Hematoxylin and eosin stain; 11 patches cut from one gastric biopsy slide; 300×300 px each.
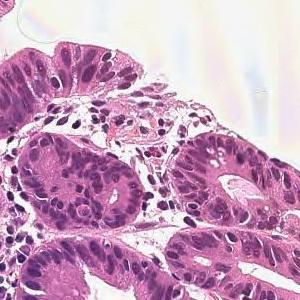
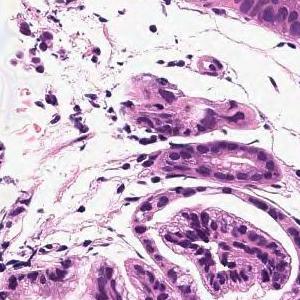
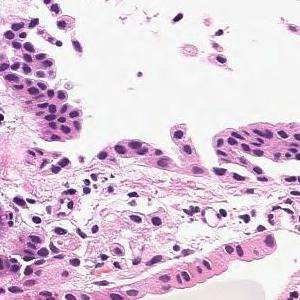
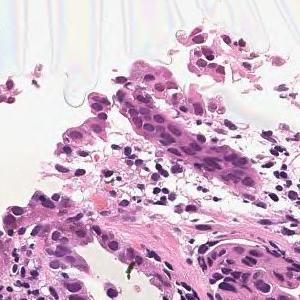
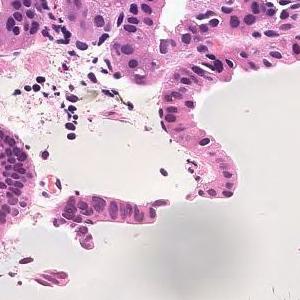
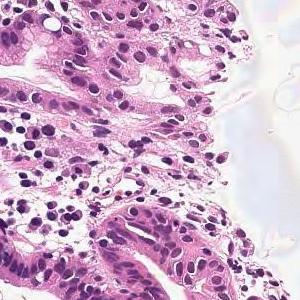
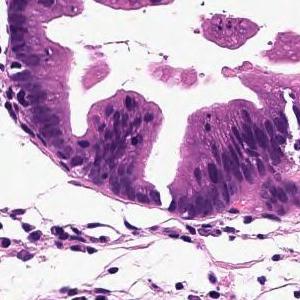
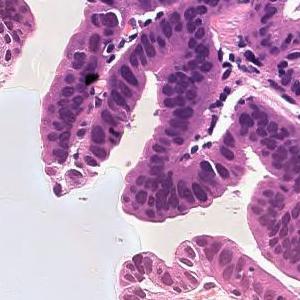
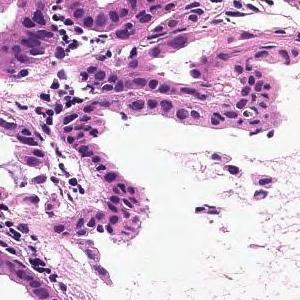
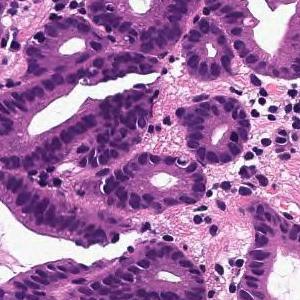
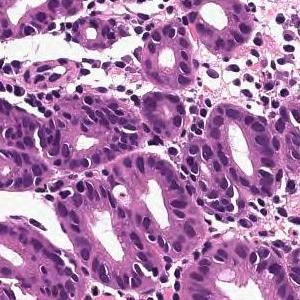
Pathology report for the biopsy slide these tiles were cut from. The report and the diagnosis cover the entire slide, so not every feature they name need be visible here, and some tissue shown may not be tumor.
Cells with elliptical or atypical nuclei form dense ducts with relatively clear growth. Well differentiated tubular adenocarcinoma
